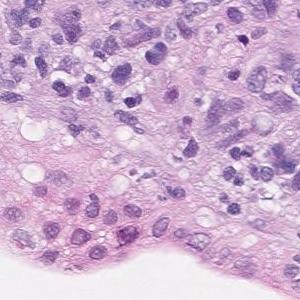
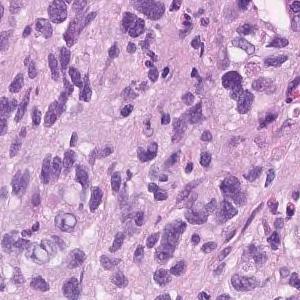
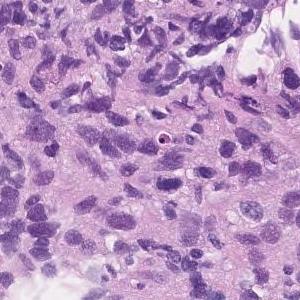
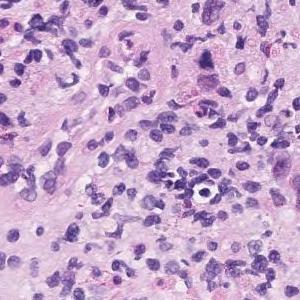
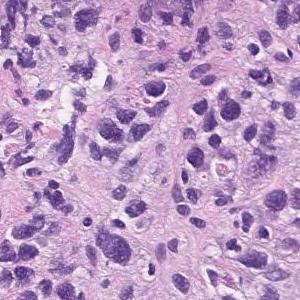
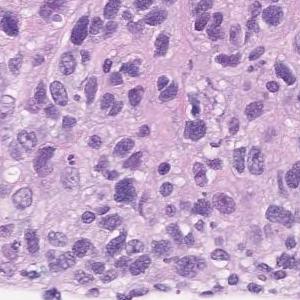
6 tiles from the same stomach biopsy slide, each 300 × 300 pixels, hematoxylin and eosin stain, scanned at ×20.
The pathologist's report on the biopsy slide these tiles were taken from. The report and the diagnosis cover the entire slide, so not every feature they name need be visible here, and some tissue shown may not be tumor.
Atypical l cells with atypical nuclei under the mucosa growing in isolation and scattered. Poorly differentiated adenocarcinoma (poorly differentiated adenocarcinoma, non-solid type)
Histologic type: Poorly differentiated adenocarcinoma, non-solid type.
"Non-solid type" is a category of the Japanese Classification of Gastric Carcinoma.
